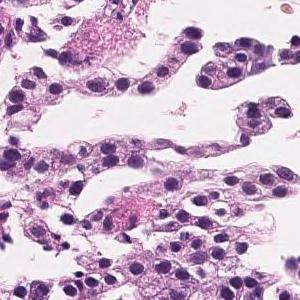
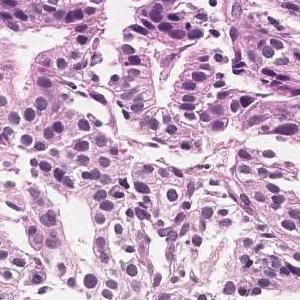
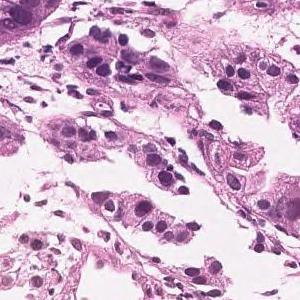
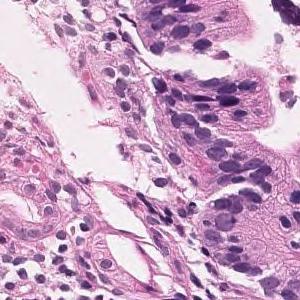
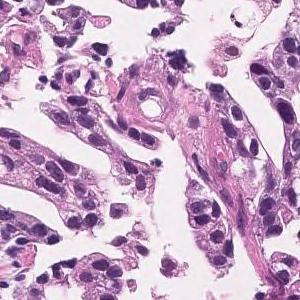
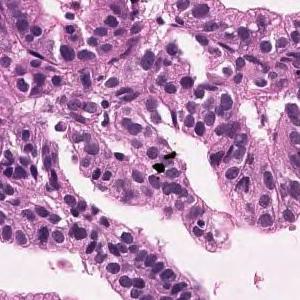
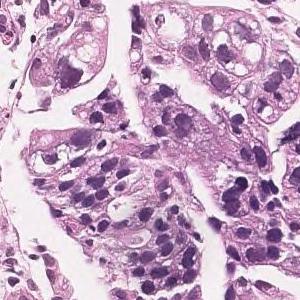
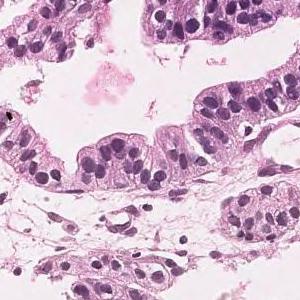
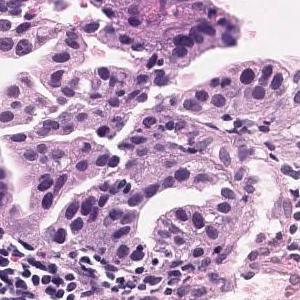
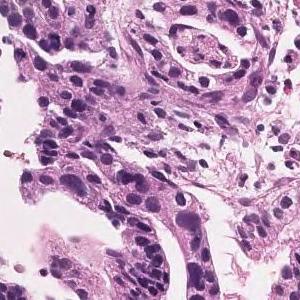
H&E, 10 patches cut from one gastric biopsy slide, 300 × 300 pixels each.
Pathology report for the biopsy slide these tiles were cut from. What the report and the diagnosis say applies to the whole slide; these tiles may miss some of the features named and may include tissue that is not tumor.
In the superficial epithelium, tumor tissue that invades by forming medium-sized to small, irregular ducts is observed. moderately differentiated tubular adenocarcinoma.
